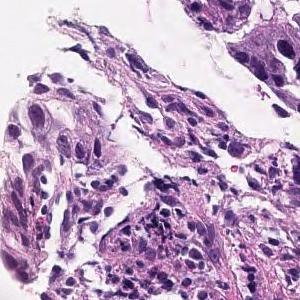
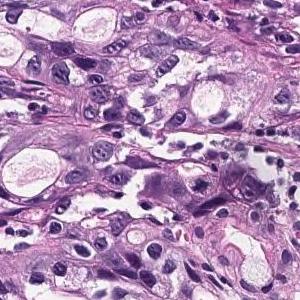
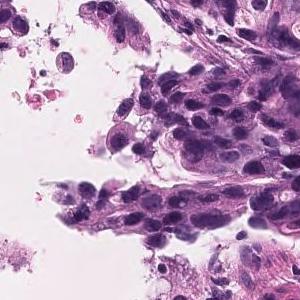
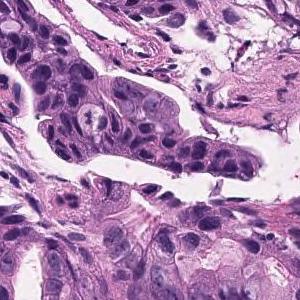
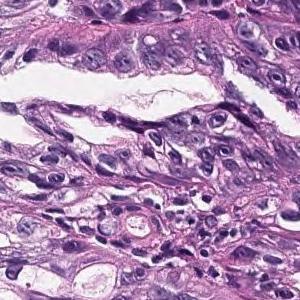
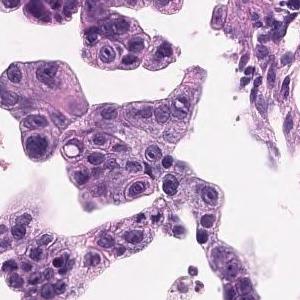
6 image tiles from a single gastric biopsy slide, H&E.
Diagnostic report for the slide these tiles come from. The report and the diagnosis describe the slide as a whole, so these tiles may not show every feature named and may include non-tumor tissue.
Tumor cells are large, highly columnar, large club-shaped nuclei, and are associated with chromatin aggregation. Papillary adenocarcinoma.
